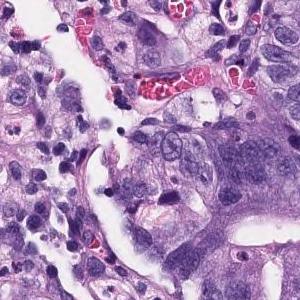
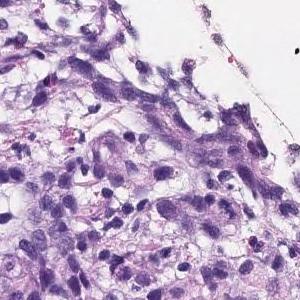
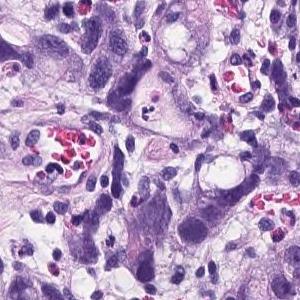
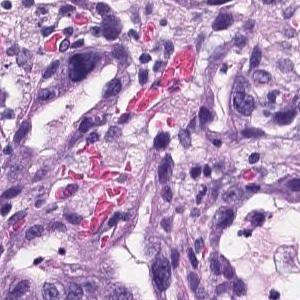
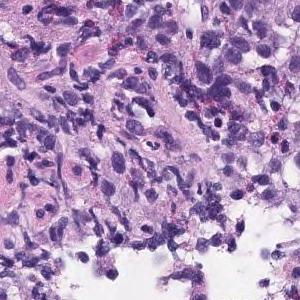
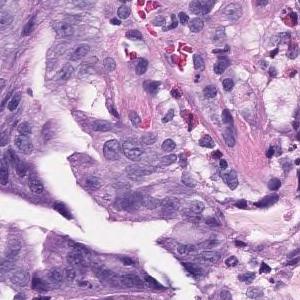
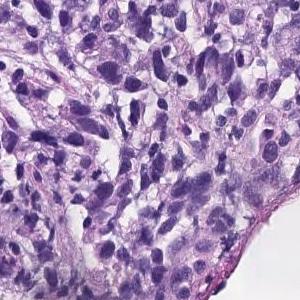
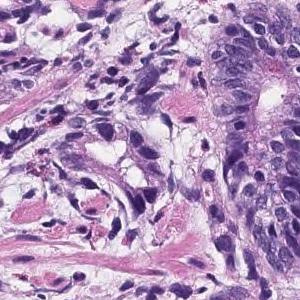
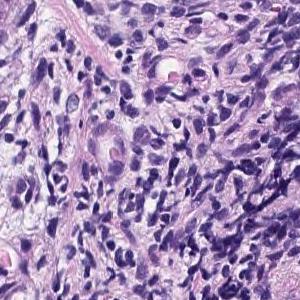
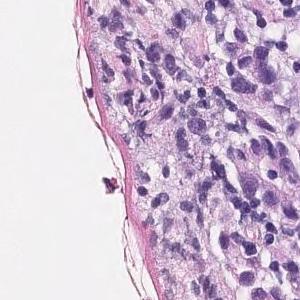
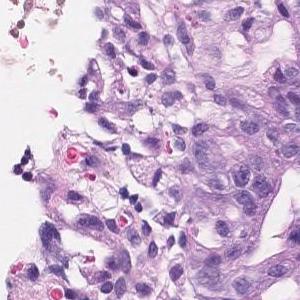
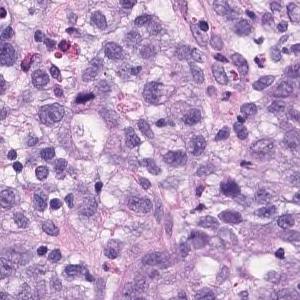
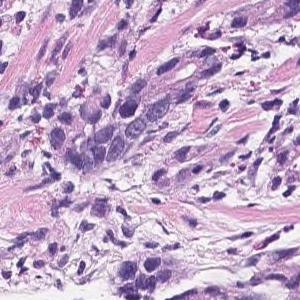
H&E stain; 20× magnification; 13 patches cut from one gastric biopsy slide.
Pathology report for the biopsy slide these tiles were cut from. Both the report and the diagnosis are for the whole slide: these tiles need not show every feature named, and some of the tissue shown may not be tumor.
There are atypical l cells with atypical nuclei forming cord-like or irregular atypical ducts from solidity and proliferating in a comprehensive manner. Poorly differentiated adenocarcinoma, Moderately differentiated adenocarcinoma (poorly differentiated adenocarcinoma, solid type moderately differentiated tubular adenocarcinoma)
Histological subtype: Moderately to poorly differentiated adenocarcinoma.
"Solid type" is a category of the Japanese Classification of Gastric Carcinoma; in the WHO 2019 classification it is tubular adenocarcinoma, poorly differentiated.
